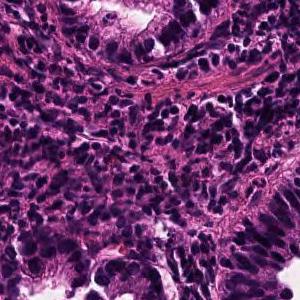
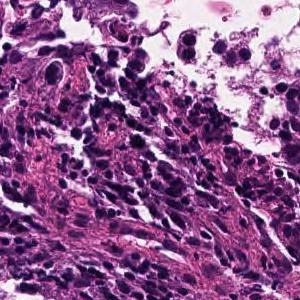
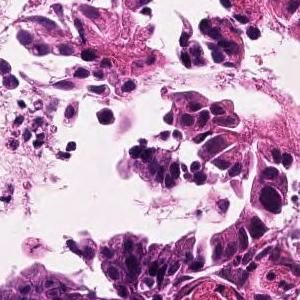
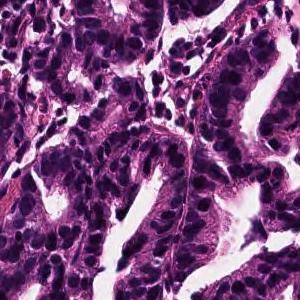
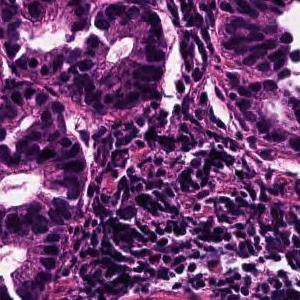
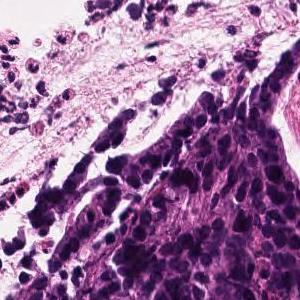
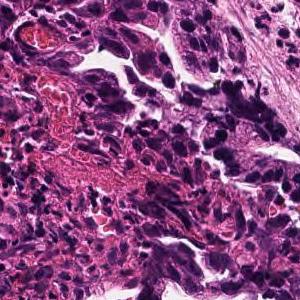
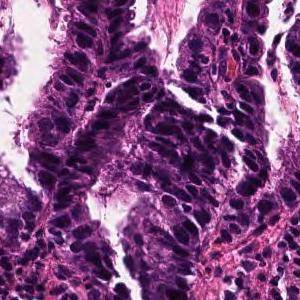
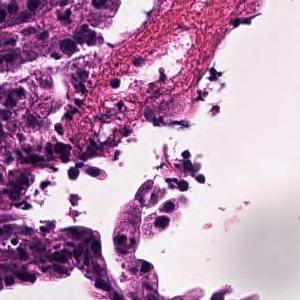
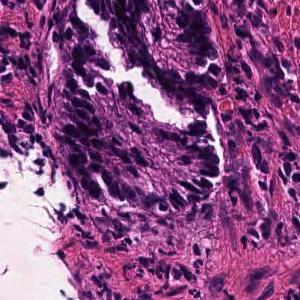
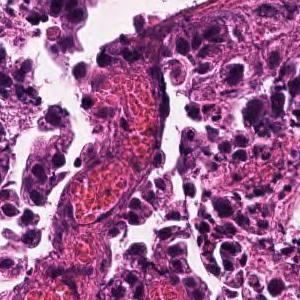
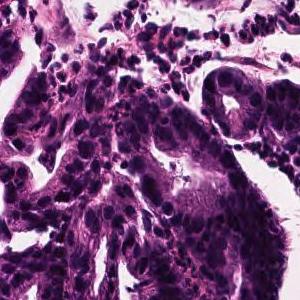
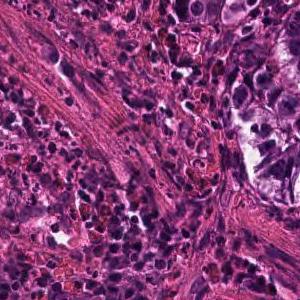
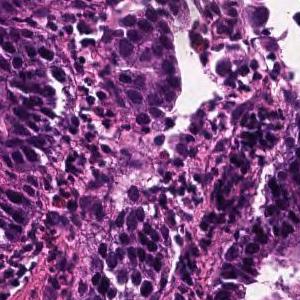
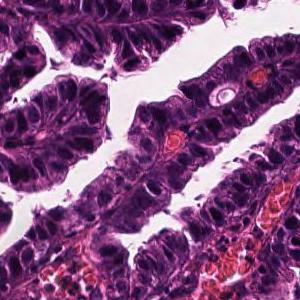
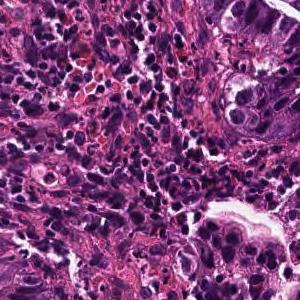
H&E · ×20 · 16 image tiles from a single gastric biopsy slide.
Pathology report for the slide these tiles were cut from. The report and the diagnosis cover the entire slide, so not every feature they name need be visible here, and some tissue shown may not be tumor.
Tumor tissue consisting of large papillary structures is found in the superficial epithelium. Papillary adenocarcinoma.
